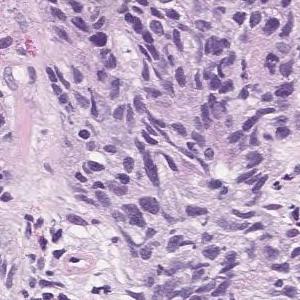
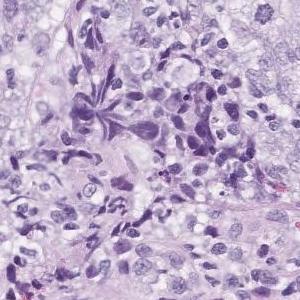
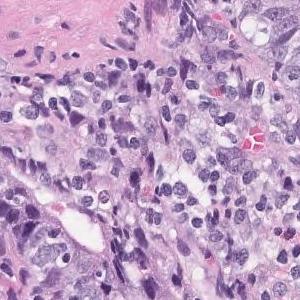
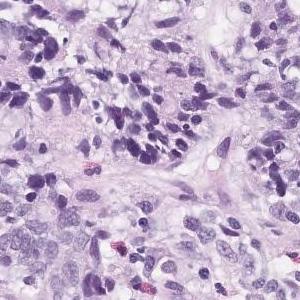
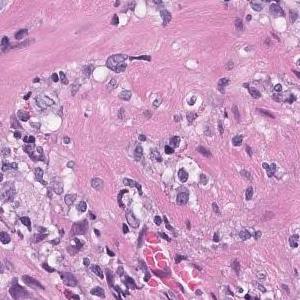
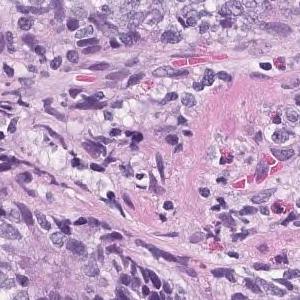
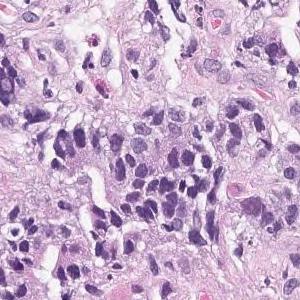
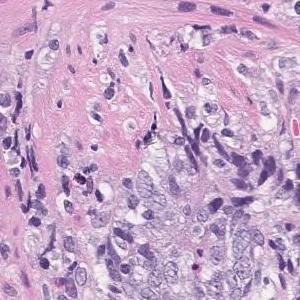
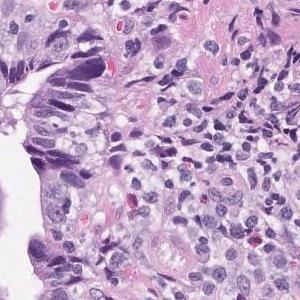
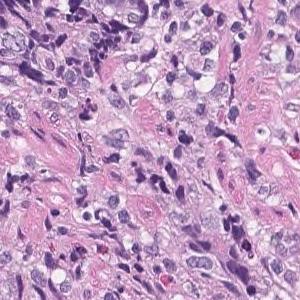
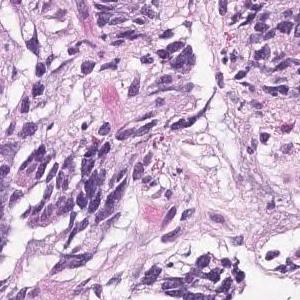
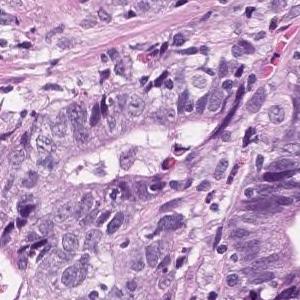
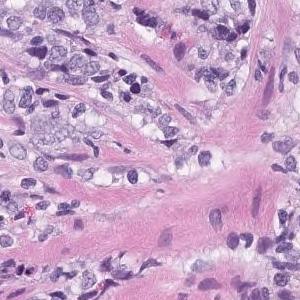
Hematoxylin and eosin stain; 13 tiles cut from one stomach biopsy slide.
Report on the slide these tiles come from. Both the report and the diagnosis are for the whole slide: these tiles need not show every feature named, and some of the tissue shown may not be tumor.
Highly columnar epithelium with disordered nuclear localization proliferates showing fusion ductal construction. moderately differentiated tubular adenocarcinoma
